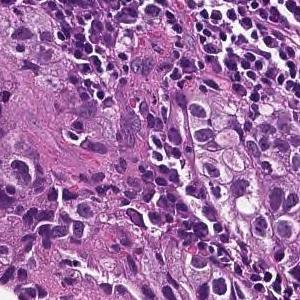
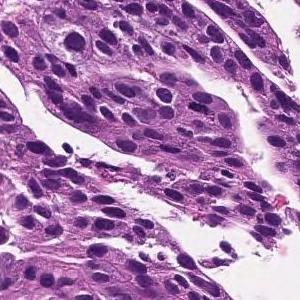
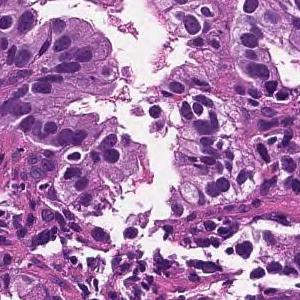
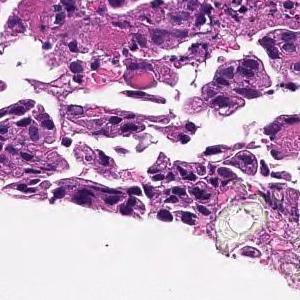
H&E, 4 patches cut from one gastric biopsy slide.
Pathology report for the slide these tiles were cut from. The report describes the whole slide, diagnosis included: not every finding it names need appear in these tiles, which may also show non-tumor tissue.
Medium to small, irregular glandular ducts are formed in the superficial epithelium, and in some cases, the glandular ducts are fused to show solid alveolar lesions and infiltrating tumor tissue is observed. Moderately to poorly differentiated adenocarcinoma.
